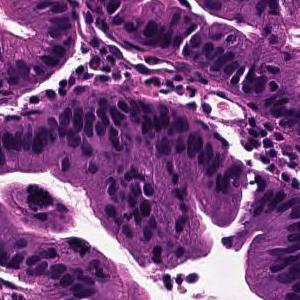
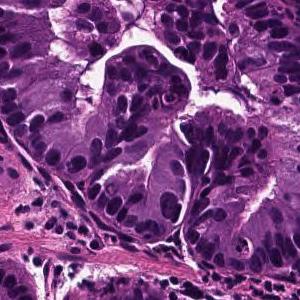
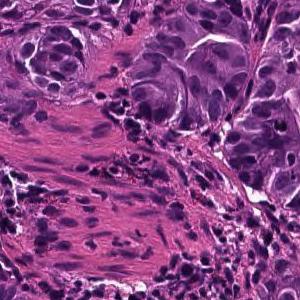
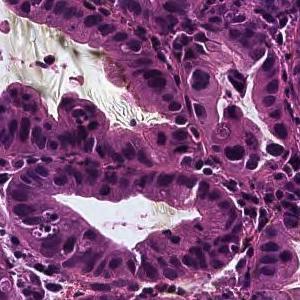
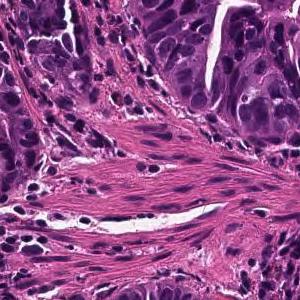
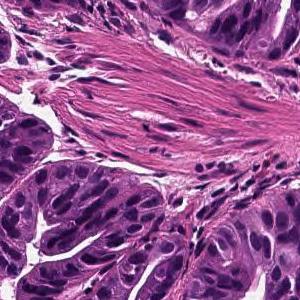
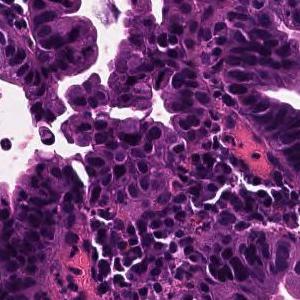
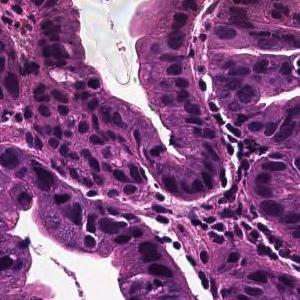
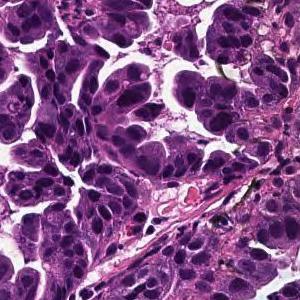
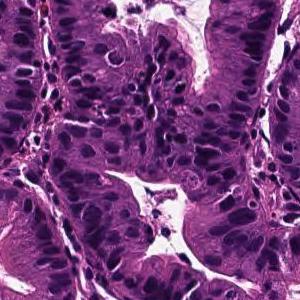
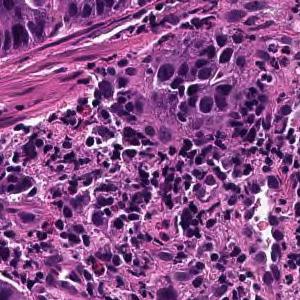
11 tiles cut from one stomach biopsy slide, H&E stain.
Report on the slide these tiles come from. The report describes the whole slide, diagnosis included: not every finding it names need appear in these tiles, which may also show non-tumor tissue.
Tumor cells are large, highly columnar, large club-shaped nuclei, and are associated with chromatin aggregation. Papillary adenocarcinoma.
